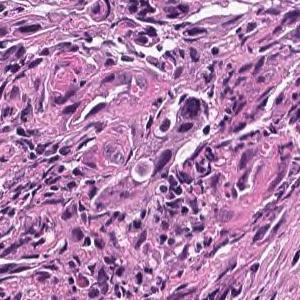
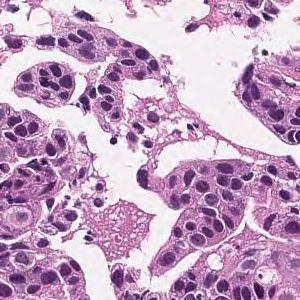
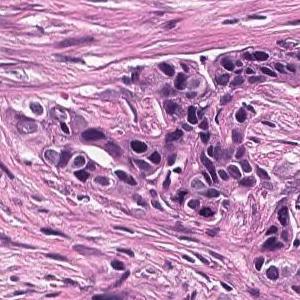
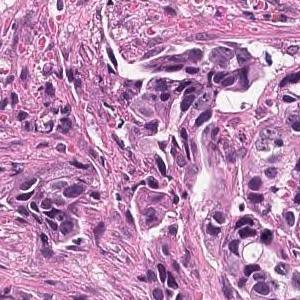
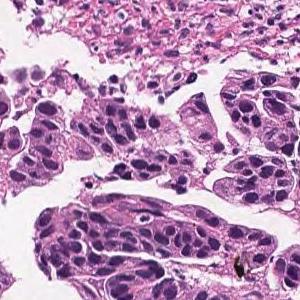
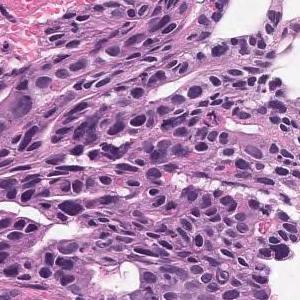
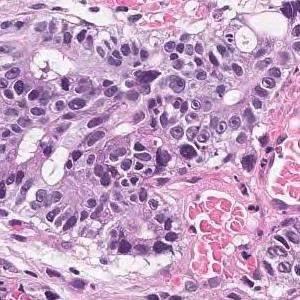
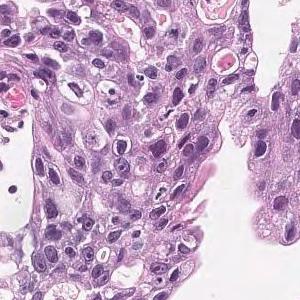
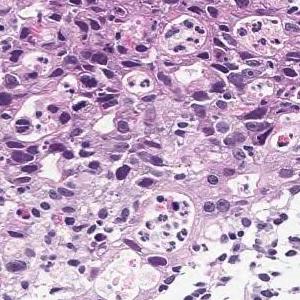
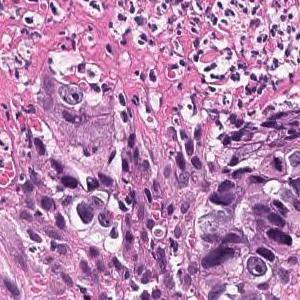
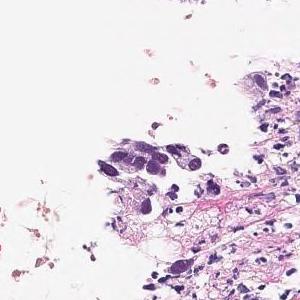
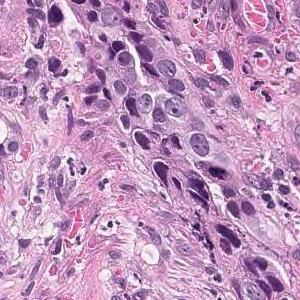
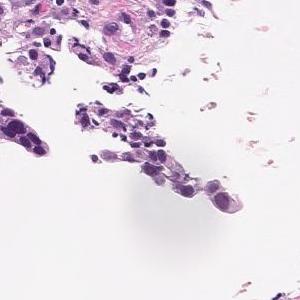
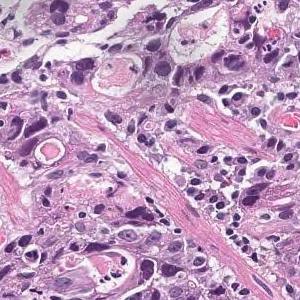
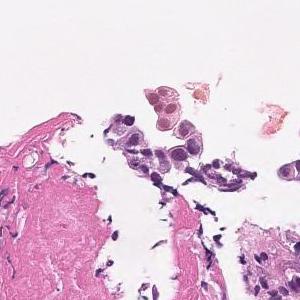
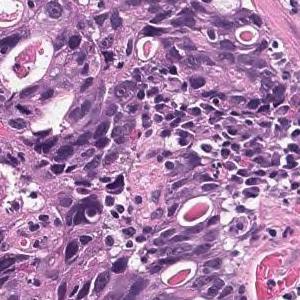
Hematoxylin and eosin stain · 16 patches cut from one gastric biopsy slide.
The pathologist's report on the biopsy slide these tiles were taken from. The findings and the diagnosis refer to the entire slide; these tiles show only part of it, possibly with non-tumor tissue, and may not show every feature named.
Tumor cells are large, highly columnar, large club-shaped nuclei, and are associated with chromatin aggregation. Papillary adenocarcinoma.
